Scanned at ×20, 8 tiles from the same stomach biopsy slide.
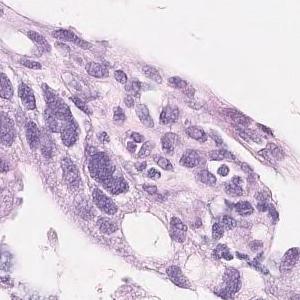
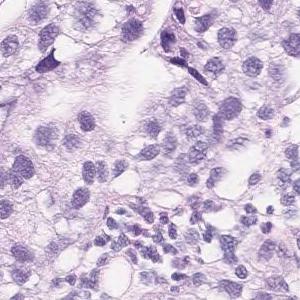
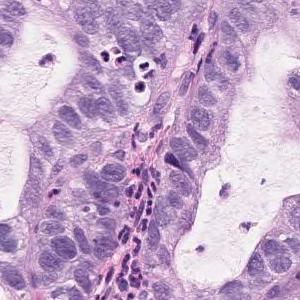
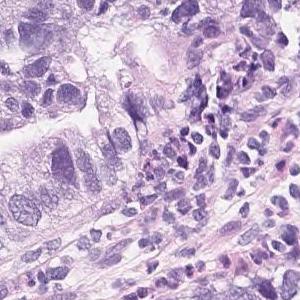
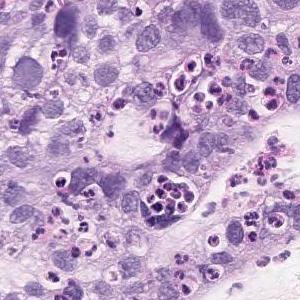
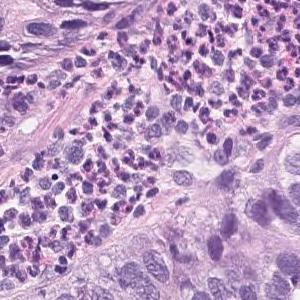
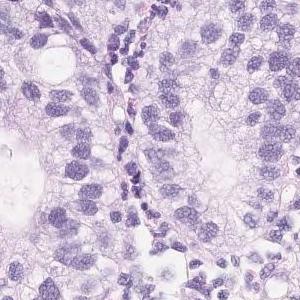
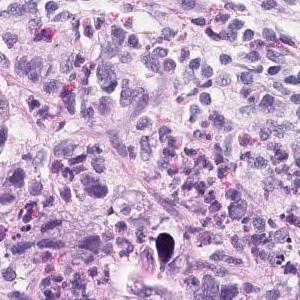
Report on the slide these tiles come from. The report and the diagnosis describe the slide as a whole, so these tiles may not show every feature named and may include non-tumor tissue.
On the superficial epithelium, tumor tissue consisting of large, irregular glandular ducts partially fused and infiltrated is observed. Well to moderately differentiated tubular adenocarcinoma (well differentiated tubular adenocarcinoma, moderately differentiated tubular adenocarcinoma)
Subtype: Well to moderately differentiated tubular adenocarcinoma.
